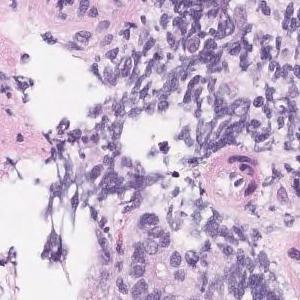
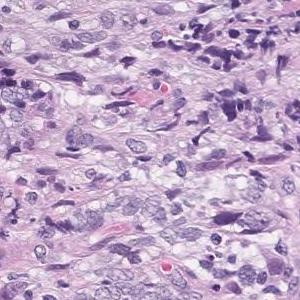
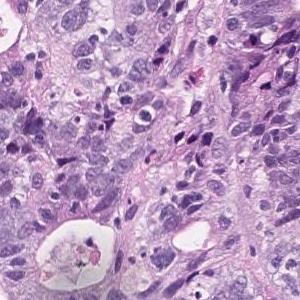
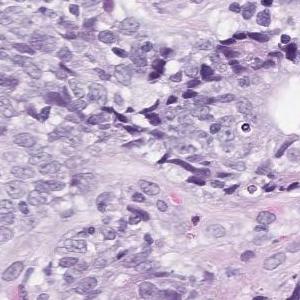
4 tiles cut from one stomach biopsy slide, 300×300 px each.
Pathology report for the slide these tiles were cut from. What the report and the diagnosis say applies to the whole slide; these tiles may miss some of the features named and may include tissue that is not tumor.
Highly columnar epithelium with disordered nuclear localization proliferates showing fusion ductal construction. moderately differentiated tubular adenocarcinoma
